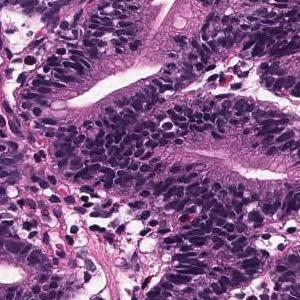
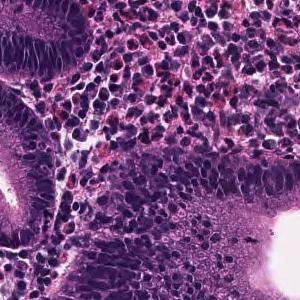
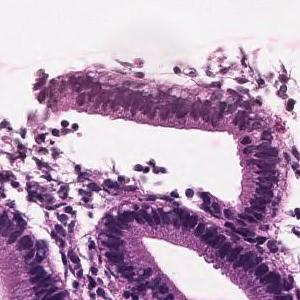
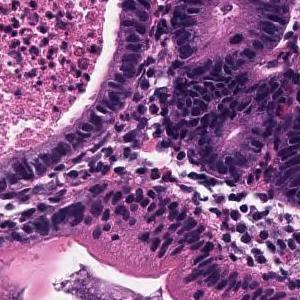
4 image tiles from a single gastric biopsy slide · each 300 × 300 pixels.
Pathology report for the biopsy slide these tiles were cut from. What the report and the diagnosis say applies to the whole slide; these tiles may miss some of the features named and may include tissue that is not tumor.
Atypical epithelium with swelling of the nucleus and pseudostratified shows tumor tissue that grows with irregular branching. Well differentiated tubular adenocarcinoma
